11 tiles cut from one stomach biopsy slide, 300×300 px each, hematoxylin and eosin stain, scanned at ×20.
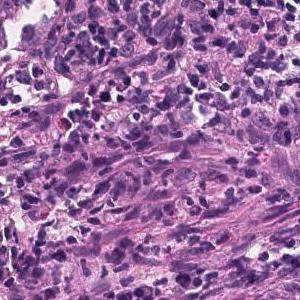
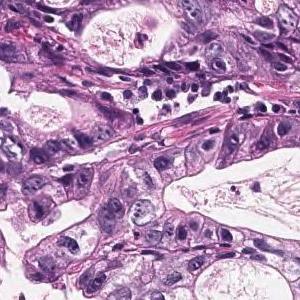
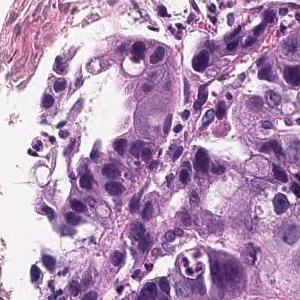
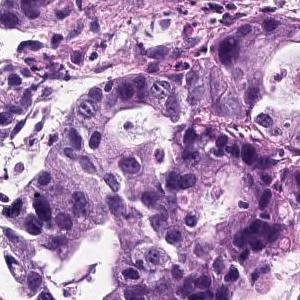
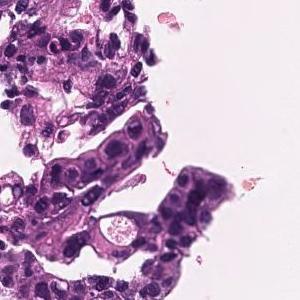
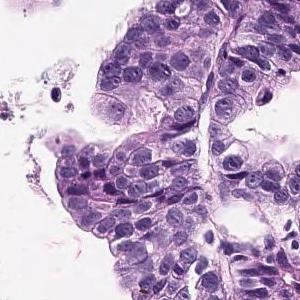
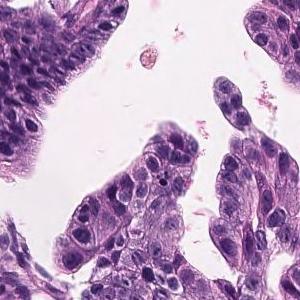
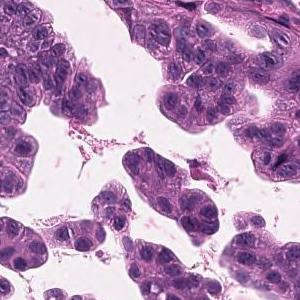
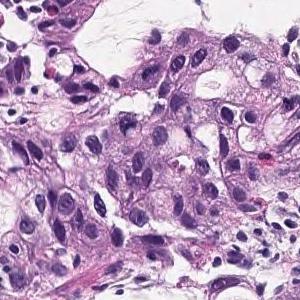
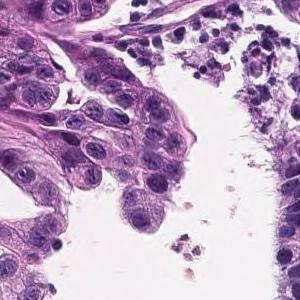
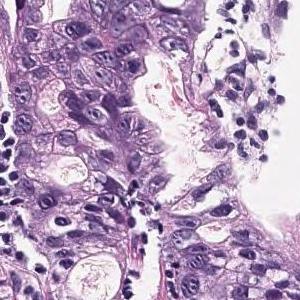
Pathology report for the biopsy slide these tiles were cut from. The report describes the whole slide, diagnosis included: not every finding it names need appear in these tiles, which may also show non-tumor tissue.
Tumor cells are large, highly columnar, large club-shaped nuclei, and are associated with chromatin aggregation. Papillary adenocarcinoma.
